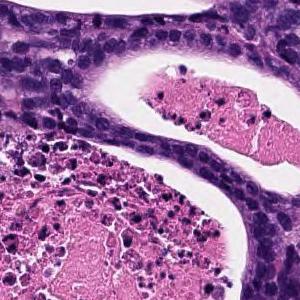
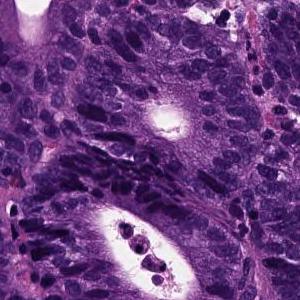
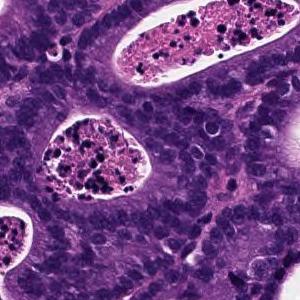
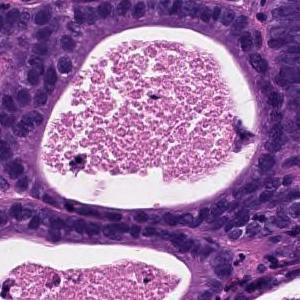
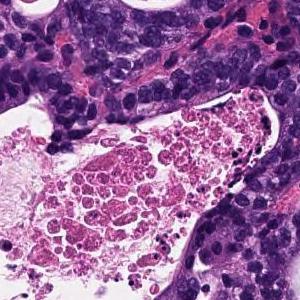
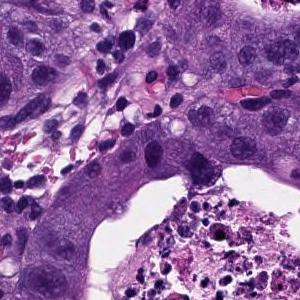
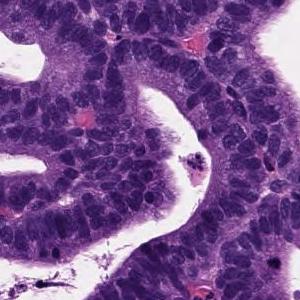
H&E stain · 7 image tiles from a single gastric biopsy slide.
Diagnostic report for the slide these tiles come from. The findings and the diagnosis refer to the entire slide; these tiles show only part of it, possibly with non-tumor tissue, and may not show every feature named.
From the superficial epithelium to the muscularis mucosae, tumor tissue consisting of medium-sized and irregular glandular ducts infiltrating is observed. Well differentiated tubular adenocarcinoma
